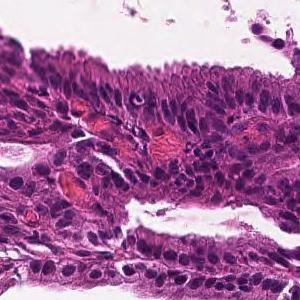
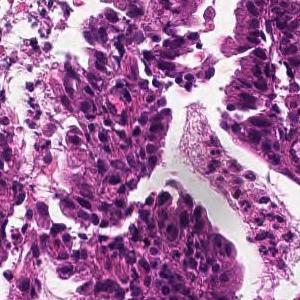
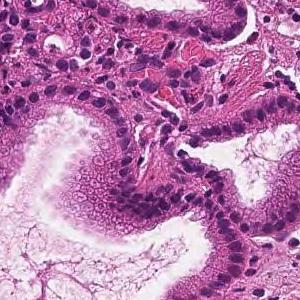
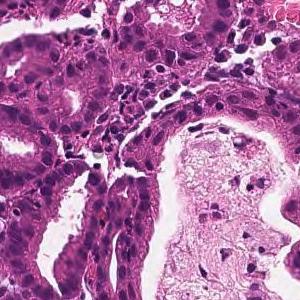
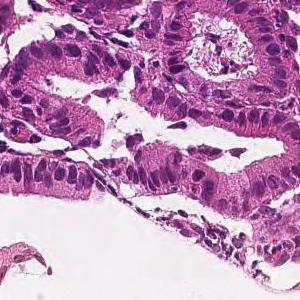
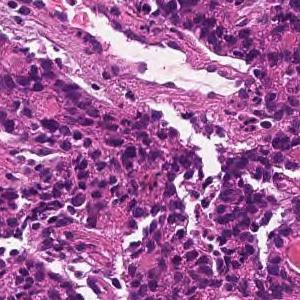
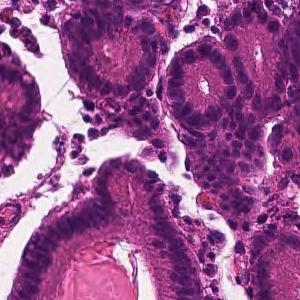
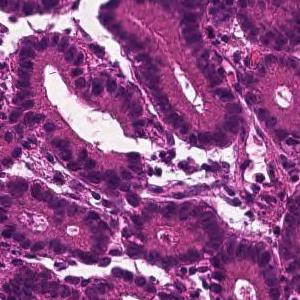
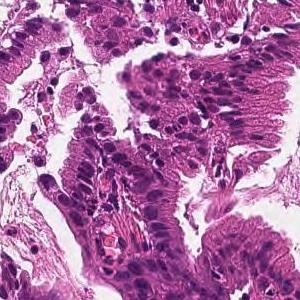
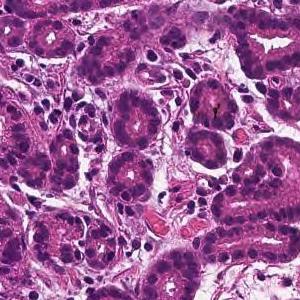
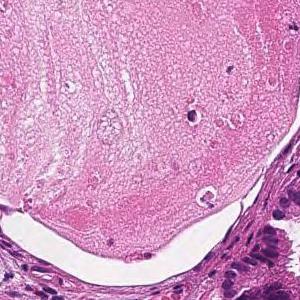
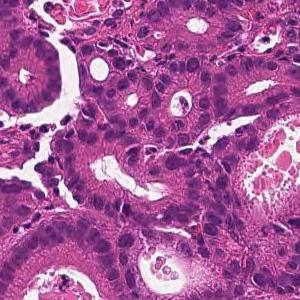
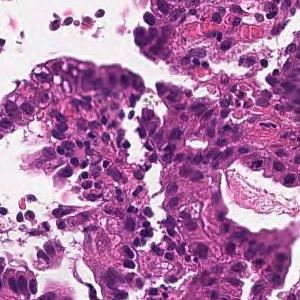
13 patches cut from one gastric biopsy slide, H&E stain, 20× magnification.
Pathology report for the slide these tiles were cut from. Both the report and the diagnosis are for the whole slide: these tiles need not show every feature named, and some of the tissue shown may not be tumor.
From the superficial epithelium to the muscularis mucosae, tumor tissue consisting of medium-sized and irregular glandular ducts infiltrating is observed. Well differentiated tubular adenocarcinoma
